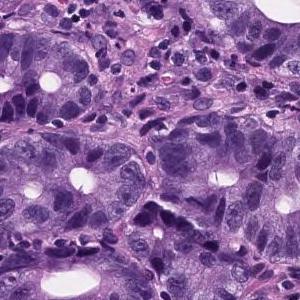
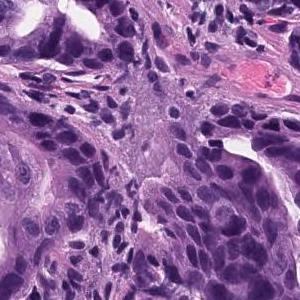
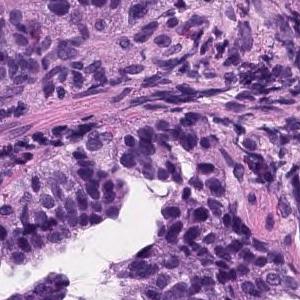
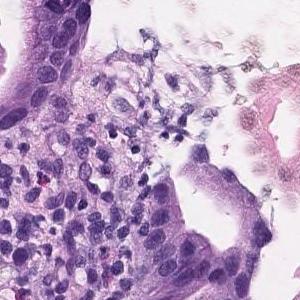
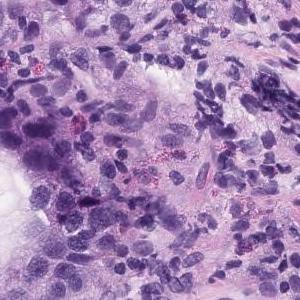
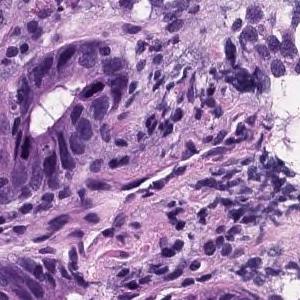
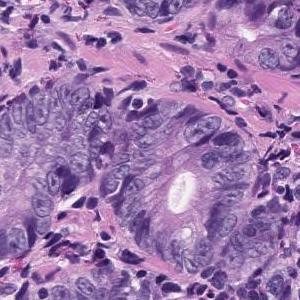
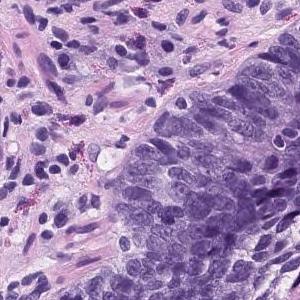
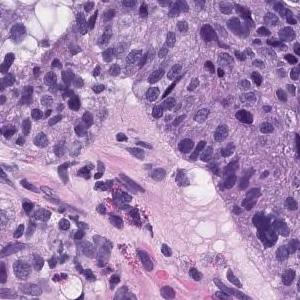
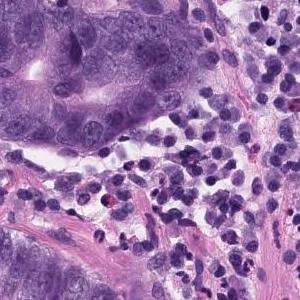
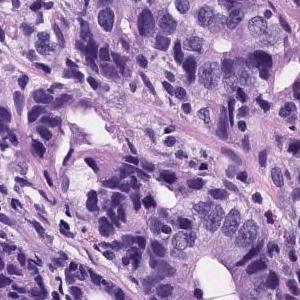
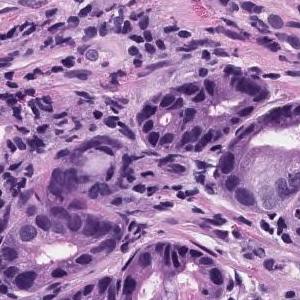
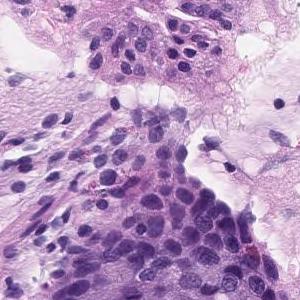
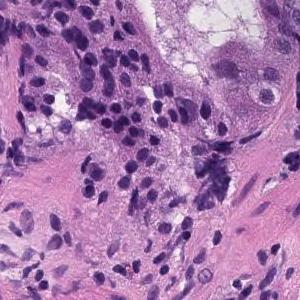
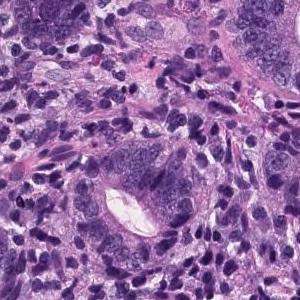
15 tiles cut from one stomach biopsy slide · H&E stain.
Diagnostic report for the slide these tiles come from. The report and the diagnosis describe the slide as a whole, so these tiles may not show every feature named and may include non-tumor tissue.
Tumor tissue consisting of medium-sized and irregular ducts is observed infiltrating in the superficial epithelium. Tumor cells are highly columnar, with nuclei aligned basolaterally and polarized. Well differentiated tubular adenocarcinoma.
